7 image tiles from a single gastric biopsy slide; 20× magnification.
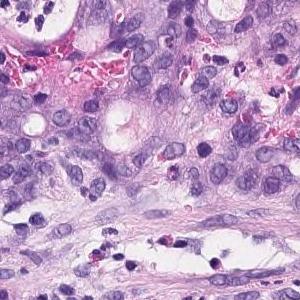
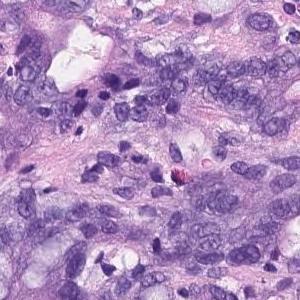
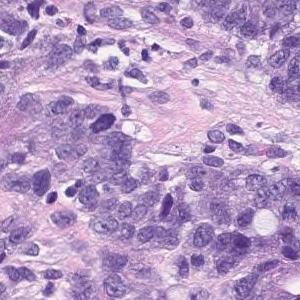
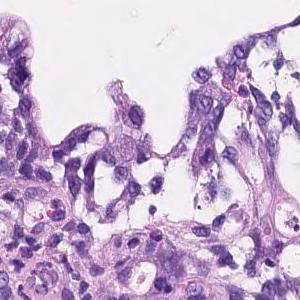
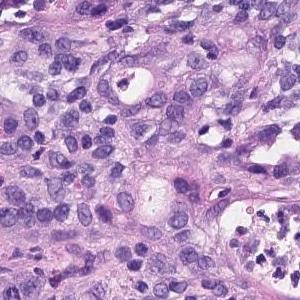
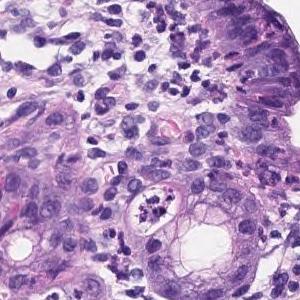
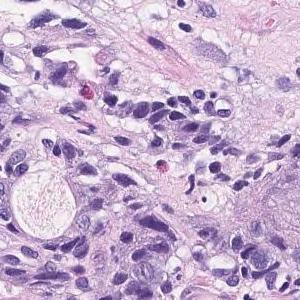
Report on the slide these tiles come from. What the report and the diagnosis say applies to the whole slide; these tiles may miss some of the features named and may include tissue that is not tumor.
Irregularly fused atypical ducts proliferating while replacing existing ducts was observed. moderately differentiated tubular adenocarcinoma
